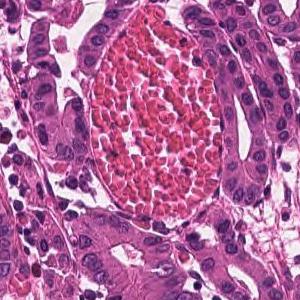
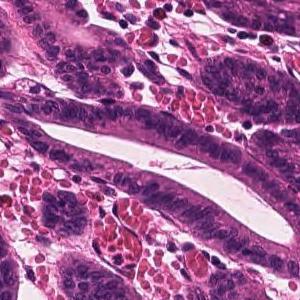
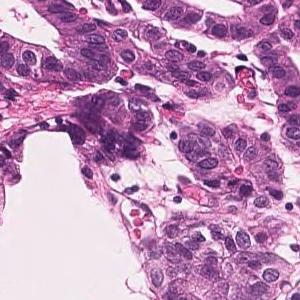
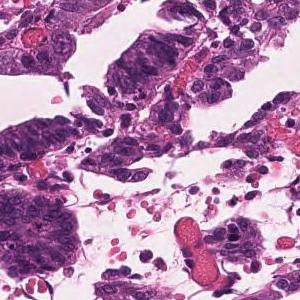
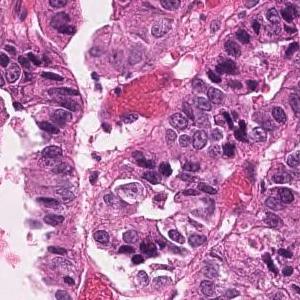
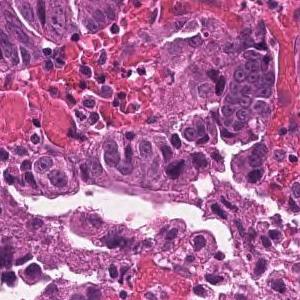
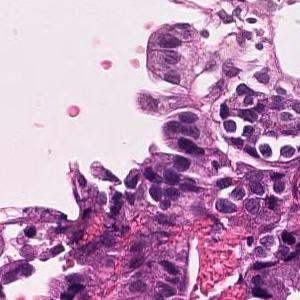
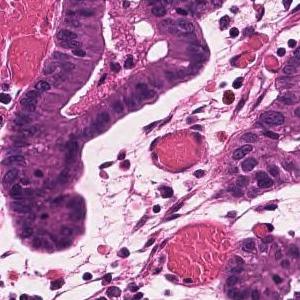
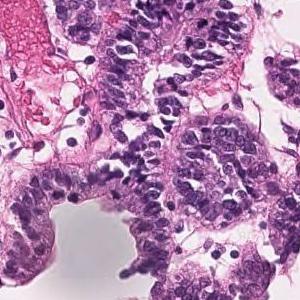
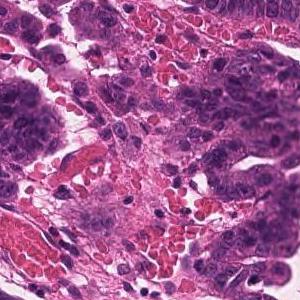
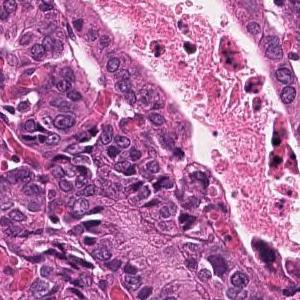
H&E stain, 11 tiles from the same stomach biopsy slide.
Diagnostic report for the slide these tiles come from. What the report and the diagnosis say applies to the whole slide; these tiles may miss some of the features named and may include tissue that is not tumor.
Infiltrating tumor tissue with medium-sized, irregular ductal structure or large papillary appearance is observed. Well differentiated tubular adenocarcinoma
